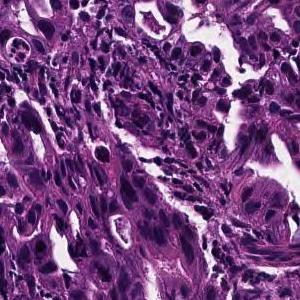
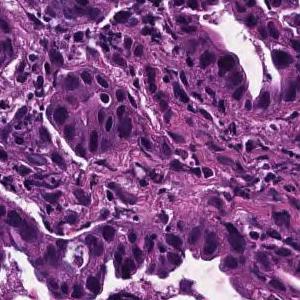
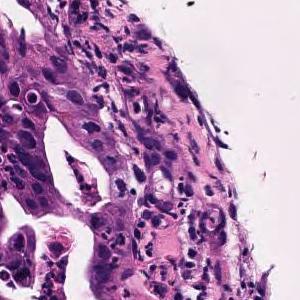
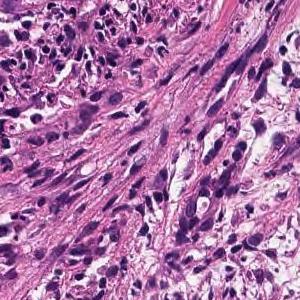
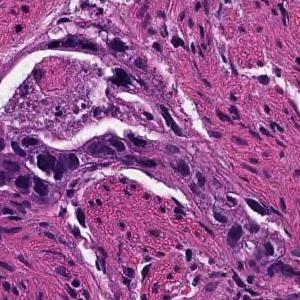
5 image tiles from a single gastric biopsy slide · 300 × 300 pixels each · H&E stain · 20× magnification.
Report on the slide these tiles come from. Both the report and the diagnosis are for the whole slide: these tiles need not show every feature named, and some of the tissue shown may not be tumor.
In the superficial epithelium, medium-sized to small irregular glandular ducts are formed, and in some cases, the glandular ducts are fused or small cord-like infiltrating tumor tissue is observed. moderately differentiated tubular adenocarcinoma
